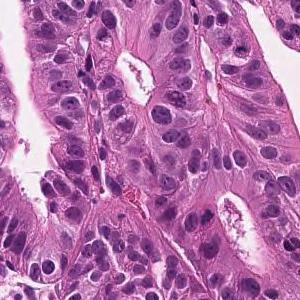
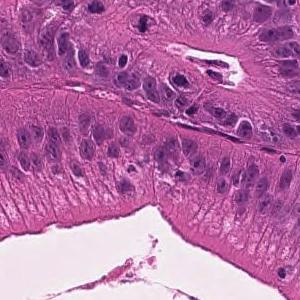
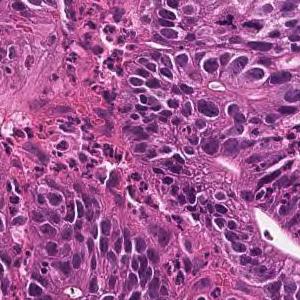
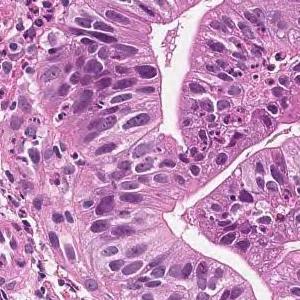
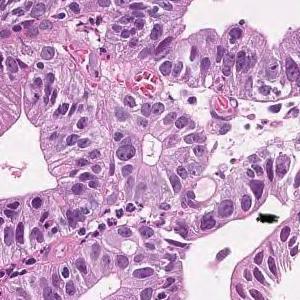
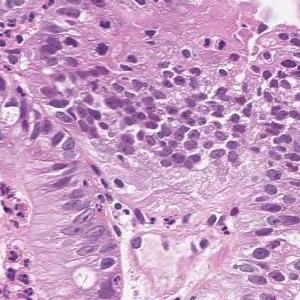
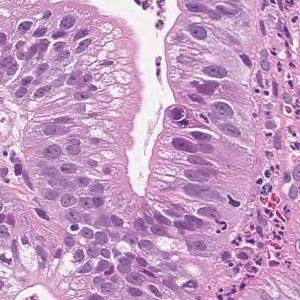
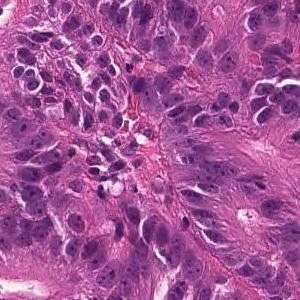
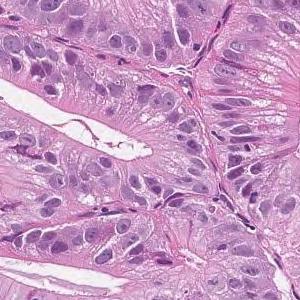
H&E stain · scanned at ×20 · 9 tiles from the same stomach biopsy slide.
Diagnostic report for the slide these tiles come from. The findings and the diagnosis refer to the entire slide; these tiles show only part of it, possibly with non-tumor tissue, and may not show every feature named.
Tumor cells are large, highly columnar, large club-shaped nuclei, and are associated with chromatin aggregation. Papillary adenocarcinoma.
